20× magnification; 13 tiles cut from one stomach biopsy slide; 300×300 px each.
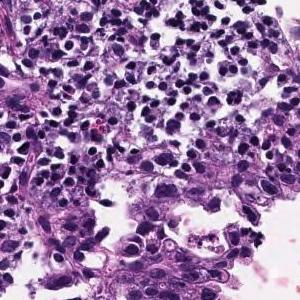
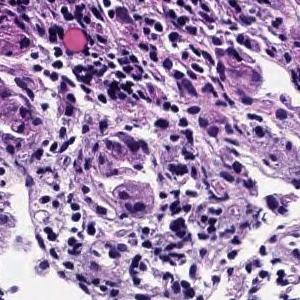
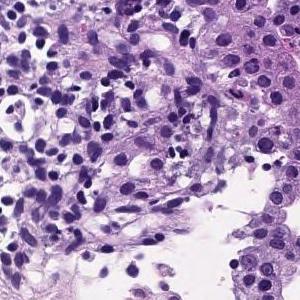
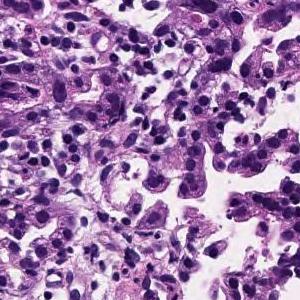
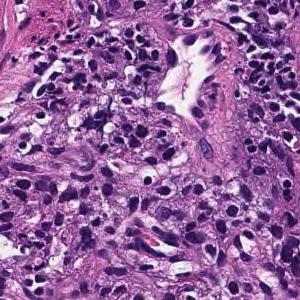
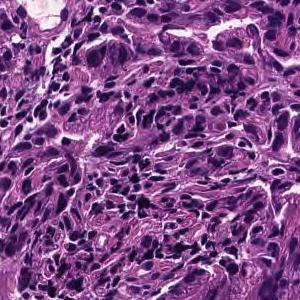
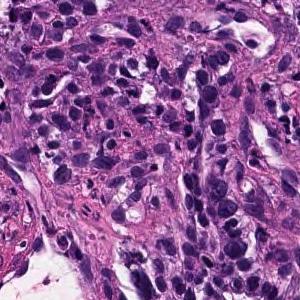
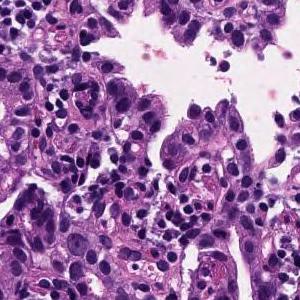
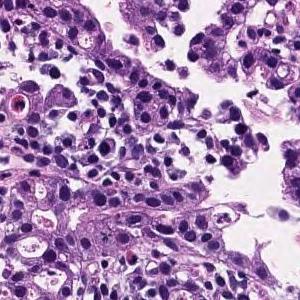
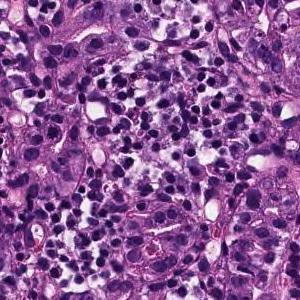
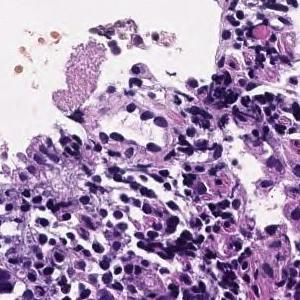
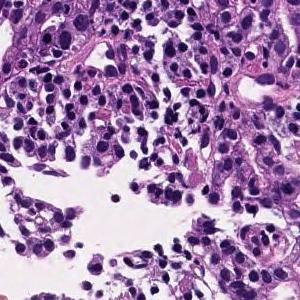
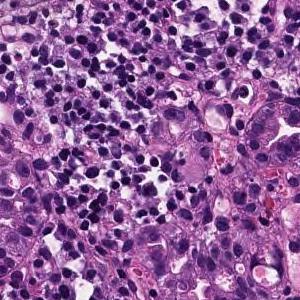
Pathology report for the biopsy slide these tiles were cut from. The report and the diagnosis describe the slide as a whole, so these tiles may not show every feature named and may include non-tumor tissue.
Medium to small, irregular glandular ducts are formed in the superficial epithelium, and in some cases, the glandular ducts are fused to show solid alveolar lesions and infiltrating tumor tissue is observed. Moderately to poorly differentiated adenocarcinoma.
